×20 · hematoxylin and eosin stain · 9 tiles from the same stomach biopsy slide · 300 × 300 pixels each.
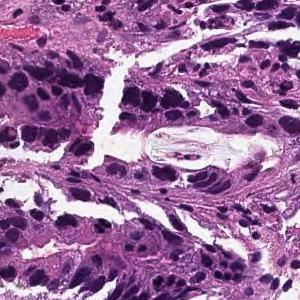
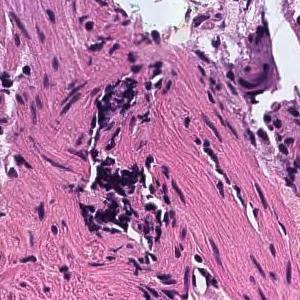
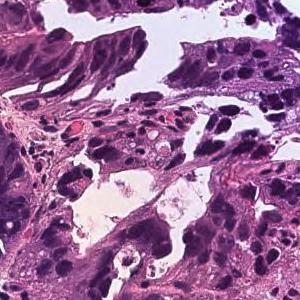
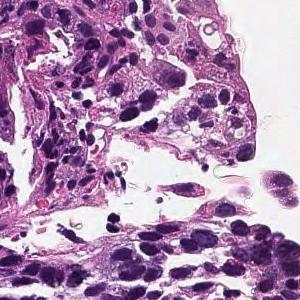
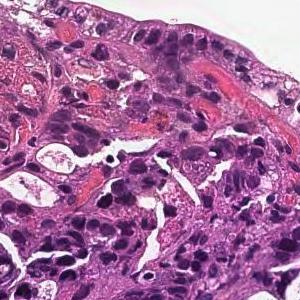
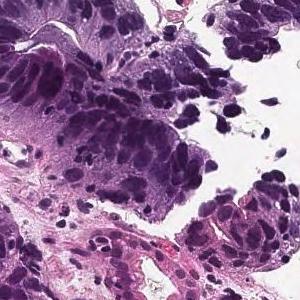
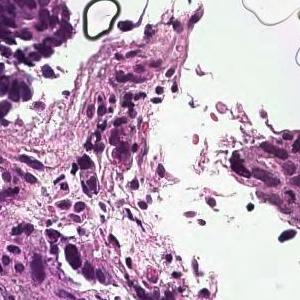
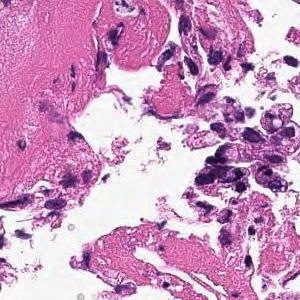
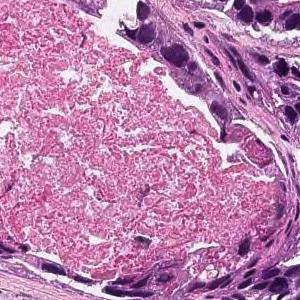
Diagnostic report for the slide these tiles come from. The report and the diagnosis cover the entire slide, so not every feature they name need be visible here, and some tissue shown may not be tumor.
In the superficial epithelium, tumor tissue that invades by forming medium-sized to small, irregular ducts is observed. moderately differentiated tubular adenocarcinoma.
